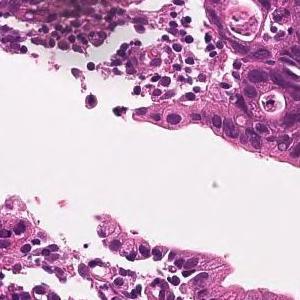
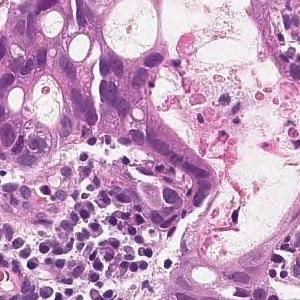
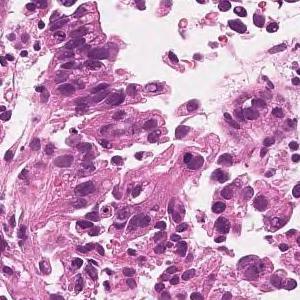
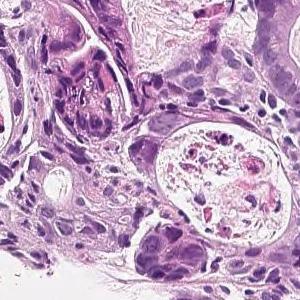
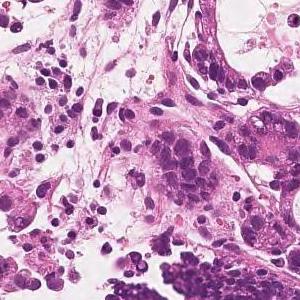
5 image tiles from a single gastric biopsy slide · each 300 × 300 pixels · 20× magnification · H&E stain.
Pathology report for the slide these tiles were cut from. What the report and the diagnosis say applies to the whole slide; these tiles may miss some of the features named and may include tissue that is not tumor.
On the superficial epithelium, tumor tissue is found in which medium-sized irregular gland ducts fuse with each other and infiltrate. moderately differentiated tubular adenocarcinoma
